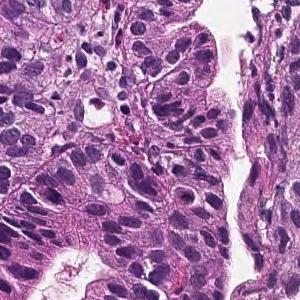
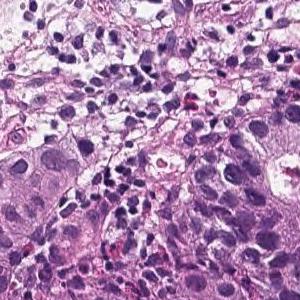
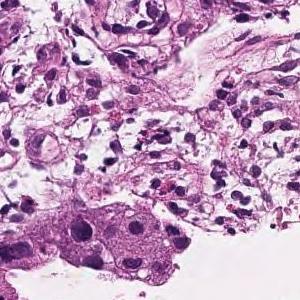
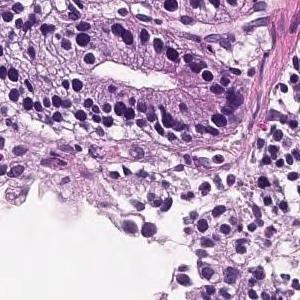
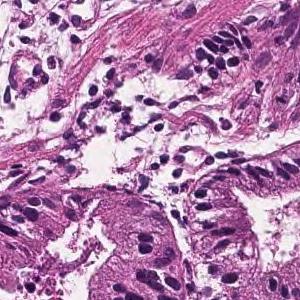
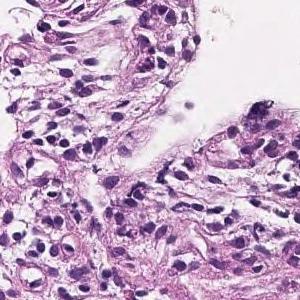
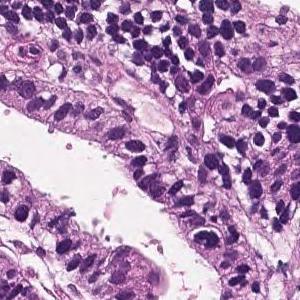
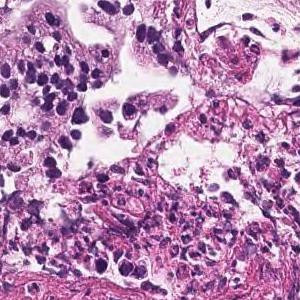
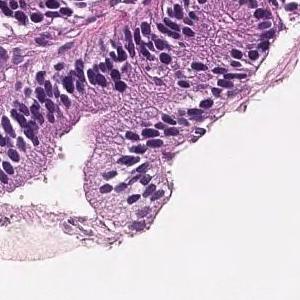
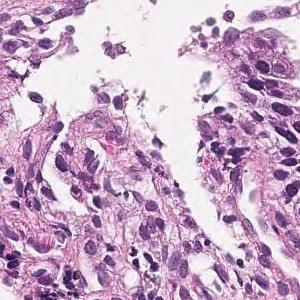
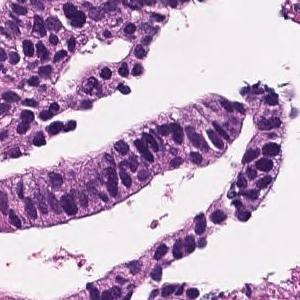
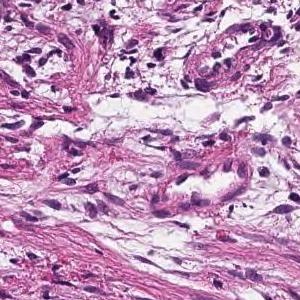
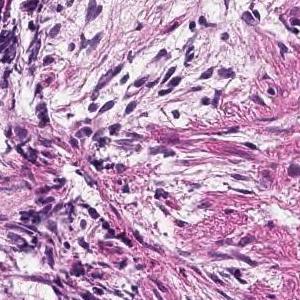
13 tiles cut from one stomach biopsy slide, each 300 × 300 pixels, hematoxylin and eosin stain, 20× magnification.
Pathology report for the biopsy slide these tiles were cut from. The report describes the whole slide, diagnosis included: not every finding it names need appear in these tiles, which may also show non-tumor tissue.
On the superficial epithelium, tumor tissue consisting of large, irregular glandular ducts partially fused and infiltrated is observed. Well to moderately differentiated tubular adenocarcinoma (well differentiated tubular adenocarcinoma, moderately differentiated tubular adenocarcinoma)
Histologic type: Well to moderately differentiated tubular adenocarcinoma.
